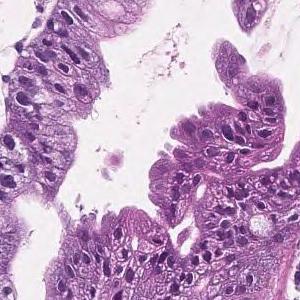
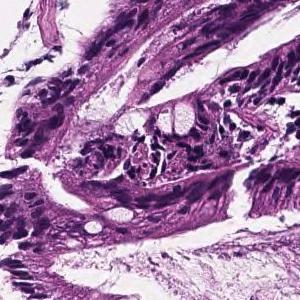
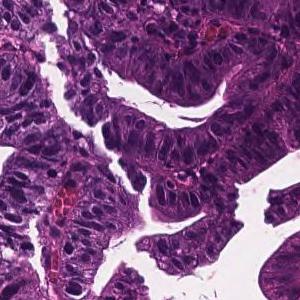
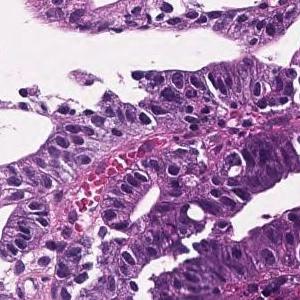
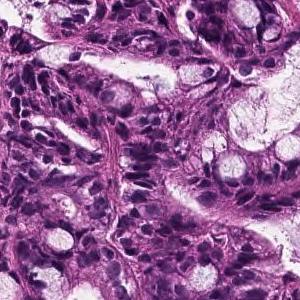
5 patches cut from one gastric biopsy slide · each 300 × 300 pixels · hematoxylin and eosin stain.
Report on the slide these tiles come from. The report describes the whole slide, diagnosis included: not every finding it names need appear in these tiles, which may also show non-tumor tissue.
In the superficial epithelium, tumor tissue that invades by forming medium-sized to small, irregular ducts is observed. Well differentiated tubular adenocarcinoma.
